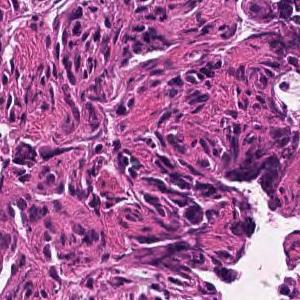
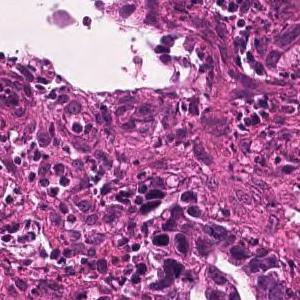
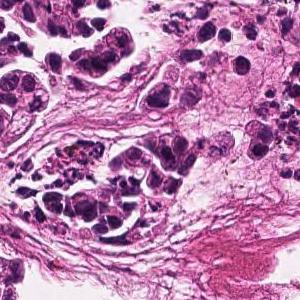
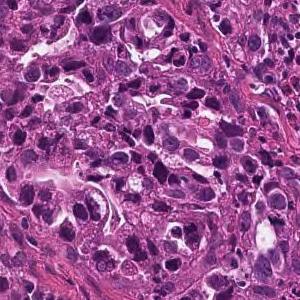
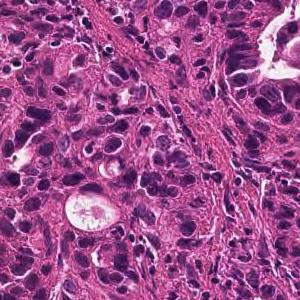
5 image tiles from a single gastric biopsy slide, 20× magnification, H&E stain.
Report on the slide these tiles come from. The findings and the diagnosis refer to the entire slide; these tiles show only part of it, possibly with non-tumor tissue, and may not show every feature named.
In the superficial epithelium, tumor tissue that invades by forming medium-sized to small, irregular ducts is observed. moderately differentiated tubular adenocarcinoma.
